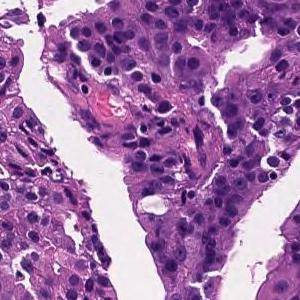
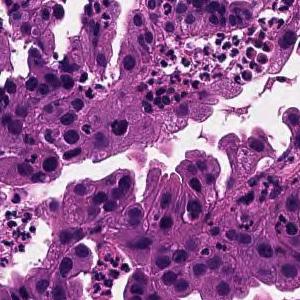
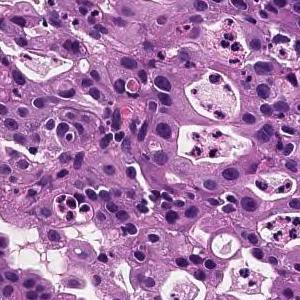
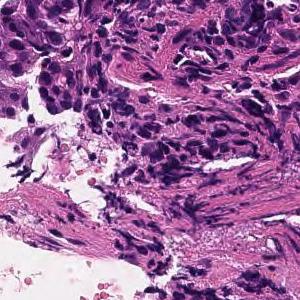
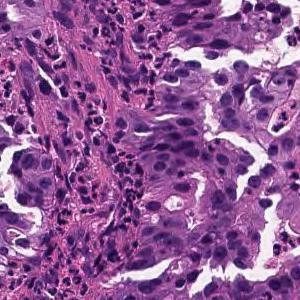
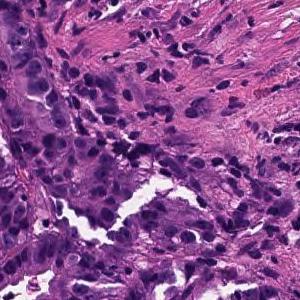
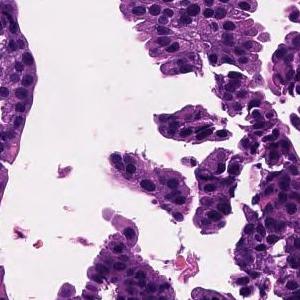
7 tiles cut from one stomach biopsy slide; each 300 × 300 pixels; ×20; hematoxylin and eosin stain.
Pathology report for the slide these tiles were cut from. What the report and the diagnosis say applies to the whole slide; these tiles may miss some of the features named and may include tissue that is not tumor.
On the superficial epithelium, tumor tissue consisting of large, irregular glandular ducts partially fused and infiltrated is observed. Well to moderately differentiated tubular adenocarcinoma (well differentiated tubular adenocarcinoma, moderately differentiated tubular adenocarcinoma)
Classified as well to moderately differentiated tubular adenocarcinoma.
